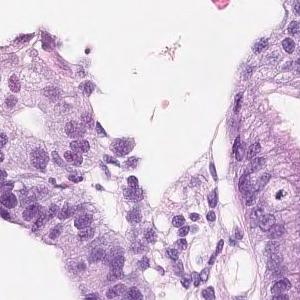
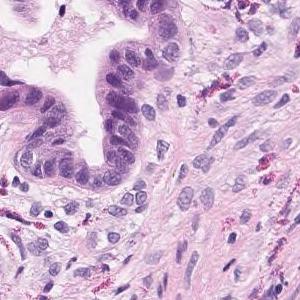
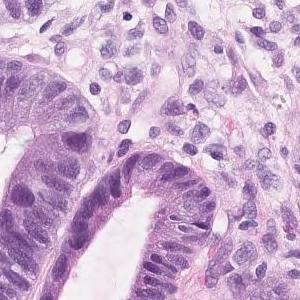
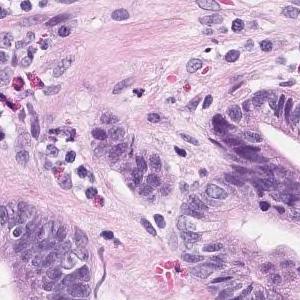
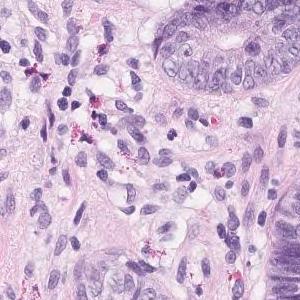
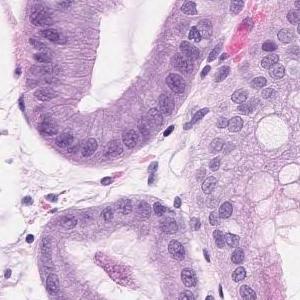
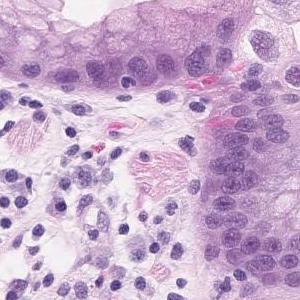
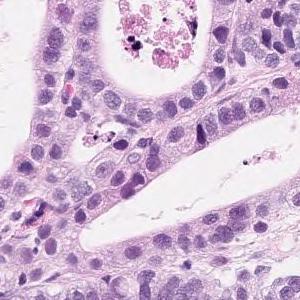
8 tiles from the same stomach biopsy slide; 300×300 px each; 20× magnification; H&E.
Diagnostic report for the slide these tiles come from. The report describes the whole slide, diagnosis included: not every finding it names need appear in these tiles, which may also show non-tumor tissue.
Short atypical epithelium with swelling of the nucleus shows proliferating, large and small irregular ductal structures. Well to moderately differentiated tubular adenocarcinoma (well differentiated tubular adenocarcinoma-moderately differentiated tubular adenocarcinoma)
Classified as well to moderately differentiated tubular adenocarcinoma.
